20× magnification, H&E, 7 patches cut from one gastric biopsy slide.
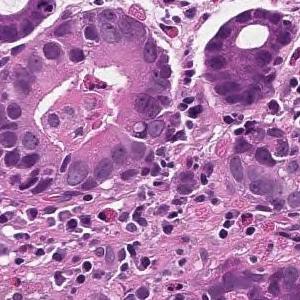
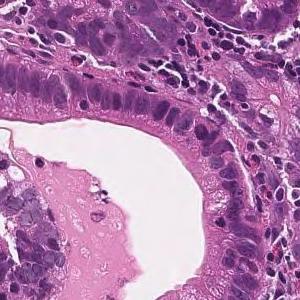
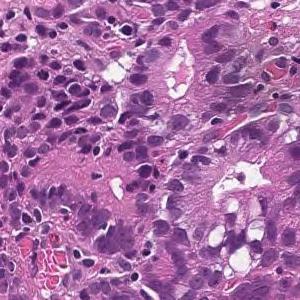
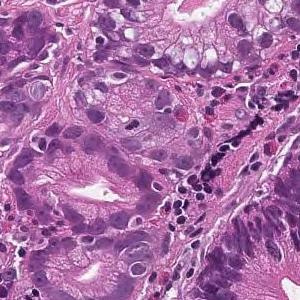
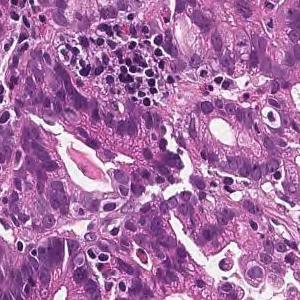
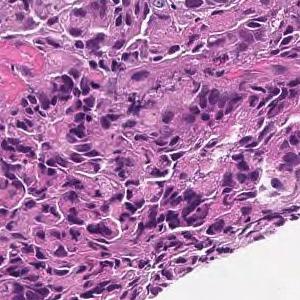
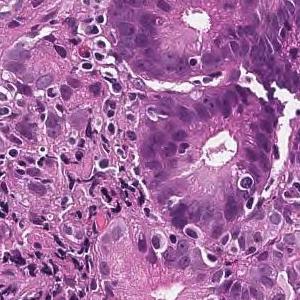
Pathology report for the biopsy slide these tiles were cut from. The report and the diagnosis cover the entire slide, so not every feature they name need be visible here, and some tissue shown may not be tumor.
From the superficial epithelium to the muscularis mucosae, tumor tissue consisting of medium-sized and irregular glandular ducts infiltrating is observed. Well differentiated tubular adenocarcinoma
